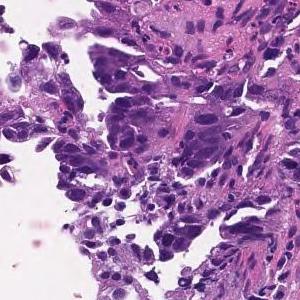
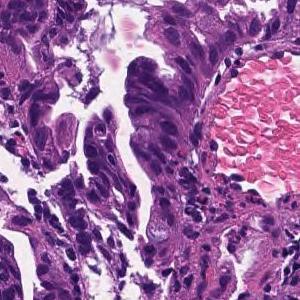
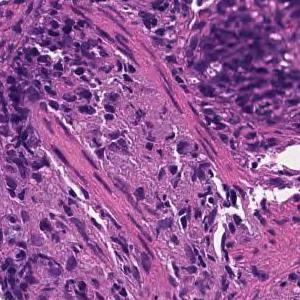
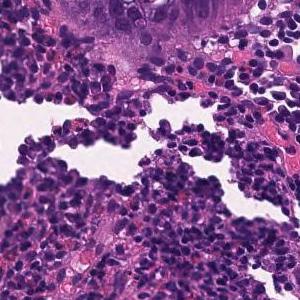
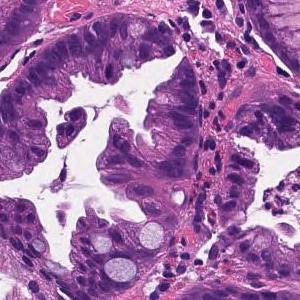
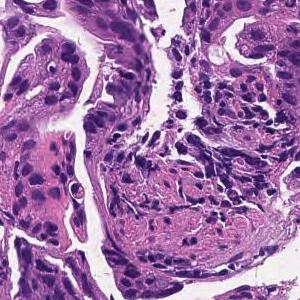
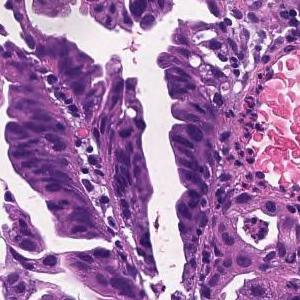
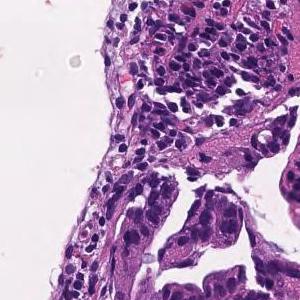
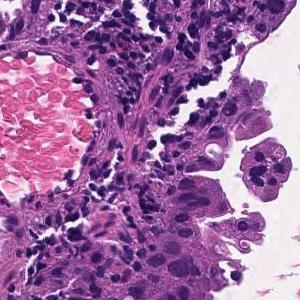
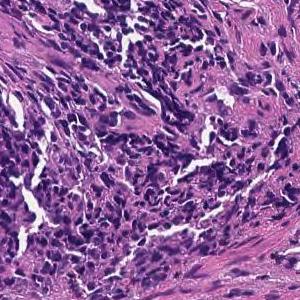
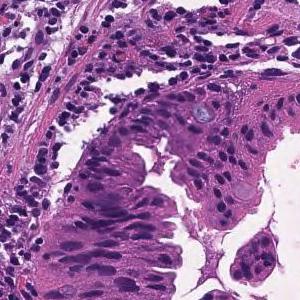
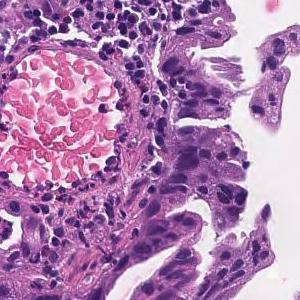
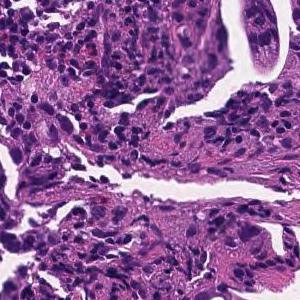
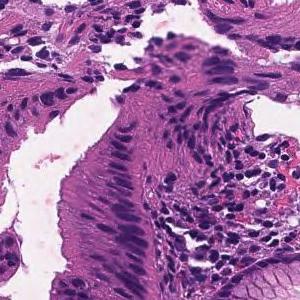
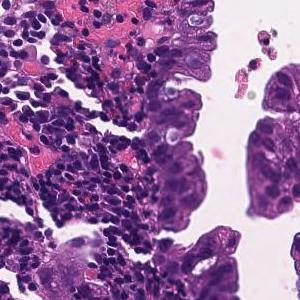
15 tiles from the same stomach biopsy slide; scanned at ×20.
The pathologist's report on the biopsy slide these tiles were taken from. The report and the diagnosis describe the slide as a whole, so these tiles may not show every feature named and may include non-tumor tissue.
On the superficial epithelium, tumor tissue that infiltrates by forming medium-sized papillary or small irregular ducts is observed. Papillary adenocarcinoma
